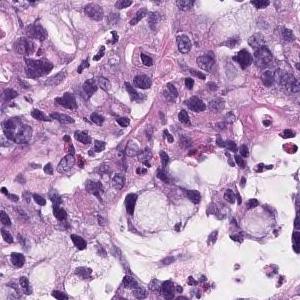
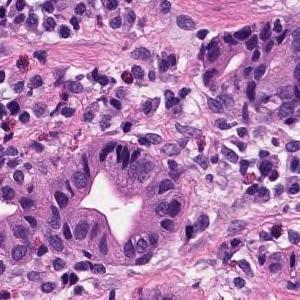
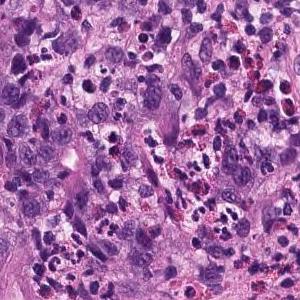
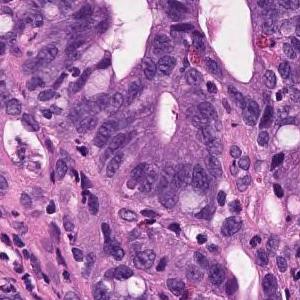
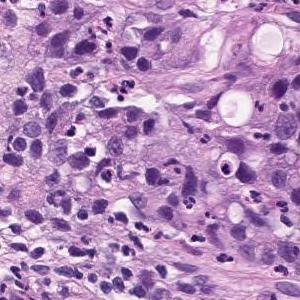
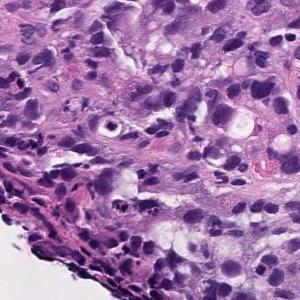
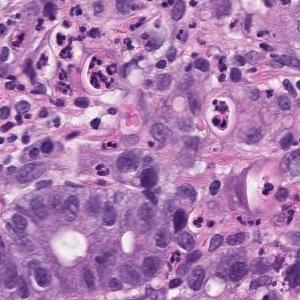
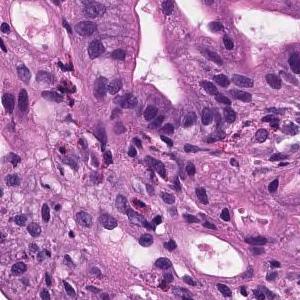
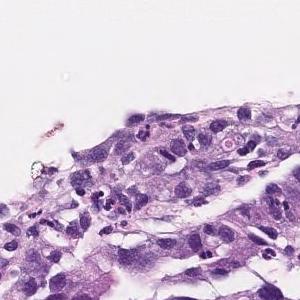
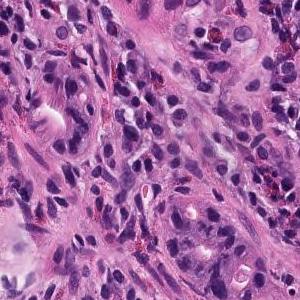
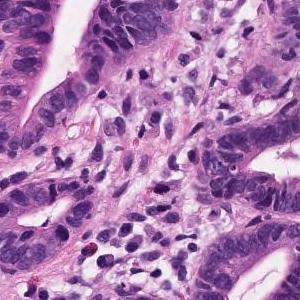
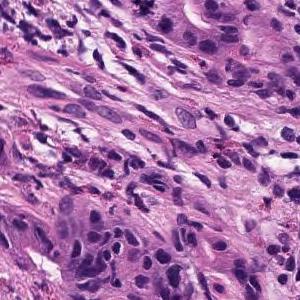
12 tiles cut from one stomach biopsy slide, 300×300 px each, H&E stain.
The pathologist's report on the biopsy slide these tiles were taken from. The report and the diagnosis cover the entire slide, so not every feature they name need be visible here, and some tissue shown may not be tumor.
moderately differentiated tubular adenocarcinoma, Poorly differentiated adenocarcinoma
The dataset labels this slide poorly differentiated adenocarcinoma, solid type, a category of the Japanese Classification of Gastric Carcinoma; in the WHO 2019 classification it is tubular adenocarcinoma, poorly differentiated.
